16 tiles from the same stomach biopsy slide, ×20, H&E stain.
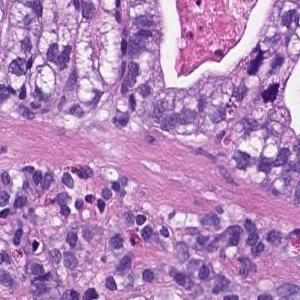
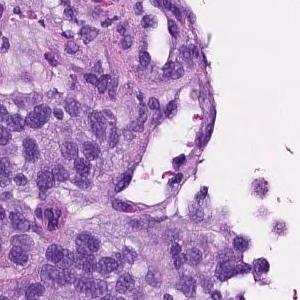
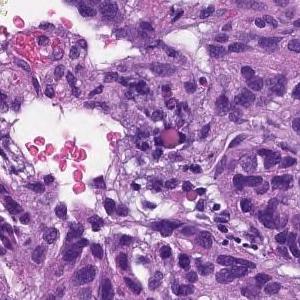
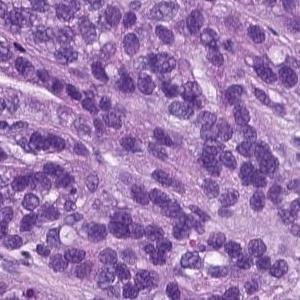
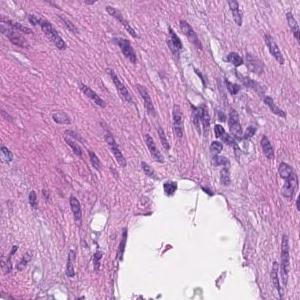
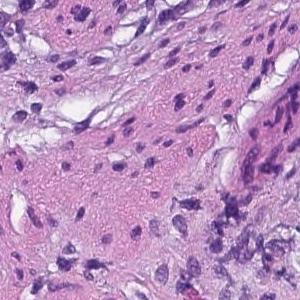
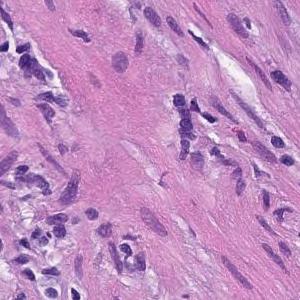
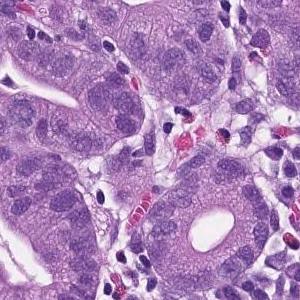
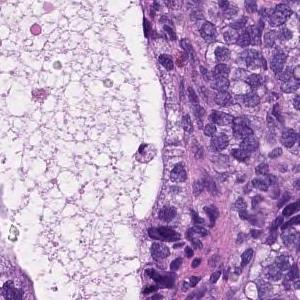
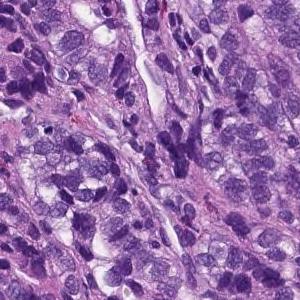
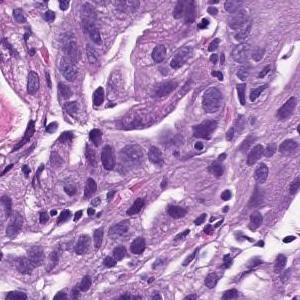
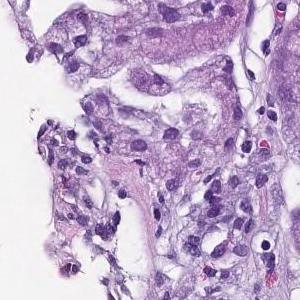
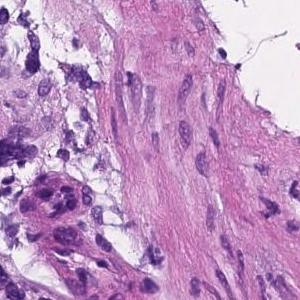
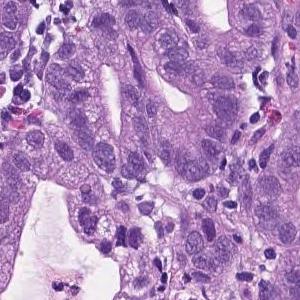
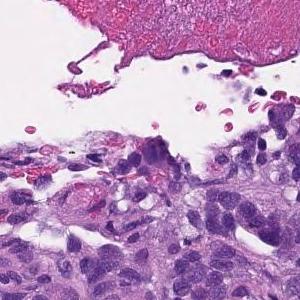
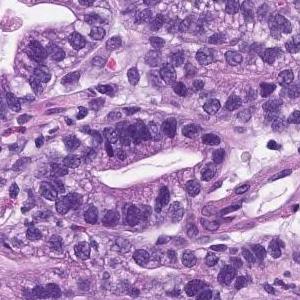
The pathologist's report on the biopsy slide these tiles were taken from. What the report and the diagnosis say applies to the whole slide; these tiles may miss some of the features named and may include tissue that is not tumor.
From the superficial epithelium to the muscularis mucosae, tumor tissue consisting of medium-sized and irregular glandular ducts infiltrating is observed. Well differentiated tubular adenocarcinoma
